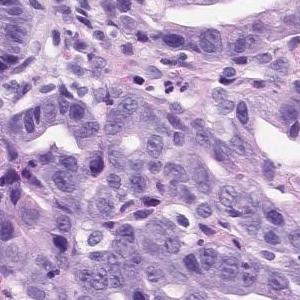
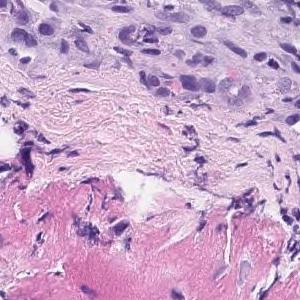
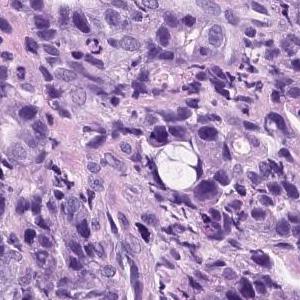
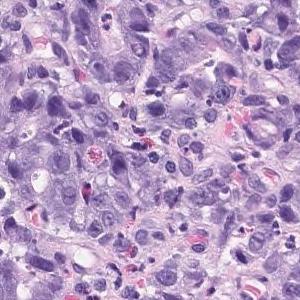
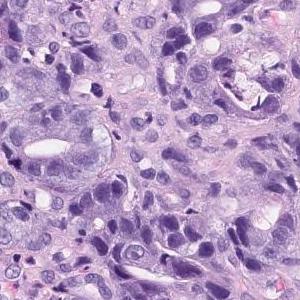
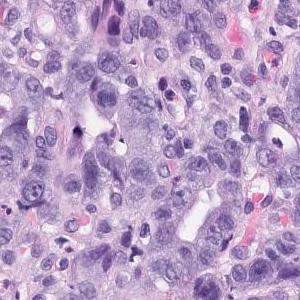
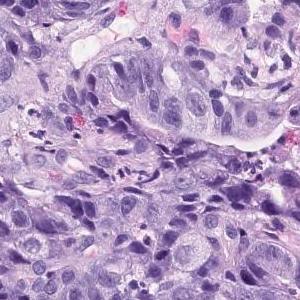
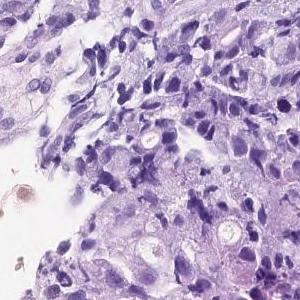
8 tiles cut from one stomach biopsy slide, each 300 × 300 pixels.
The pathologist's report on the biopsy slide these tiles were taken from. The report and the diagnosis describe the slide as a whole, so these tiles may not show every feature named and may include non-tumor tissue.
In the superficial epithelium, tumor tissue that invades by forming medium-sized to small, irregular ducts is observed. Moderately differentiated adenocarcinoma.
Subtype: Moderately differentiated tubular adenocarcinoma.
